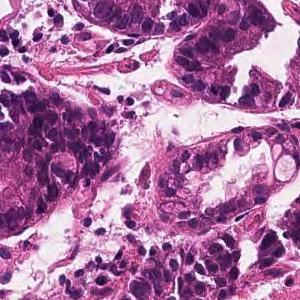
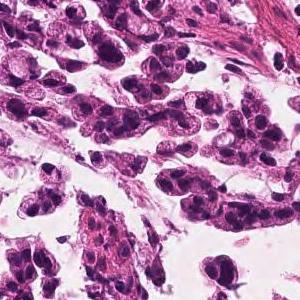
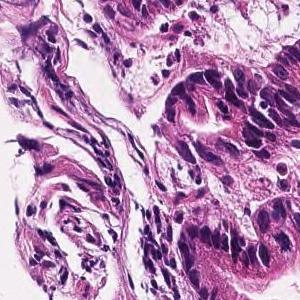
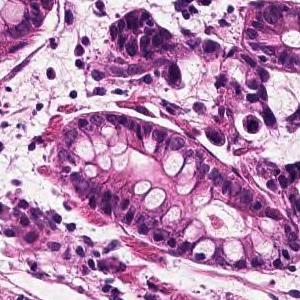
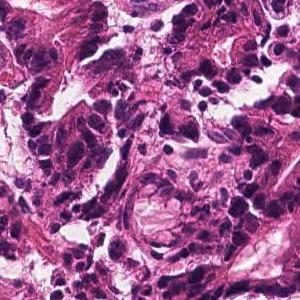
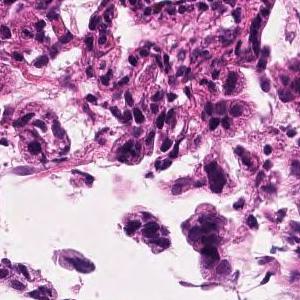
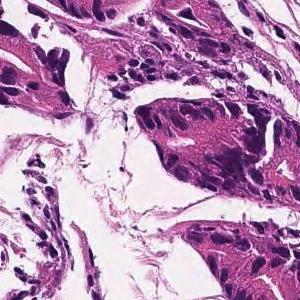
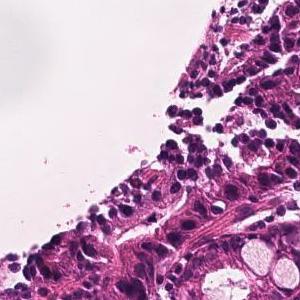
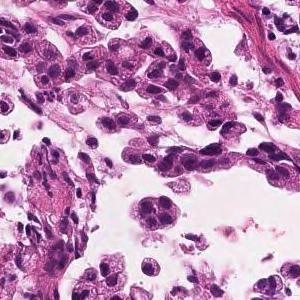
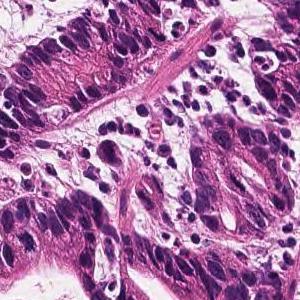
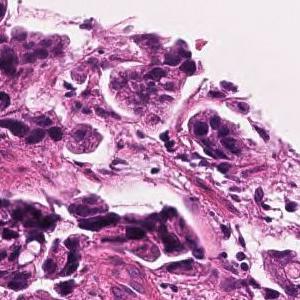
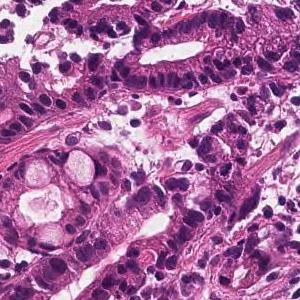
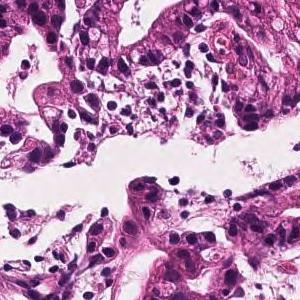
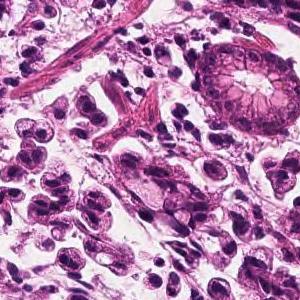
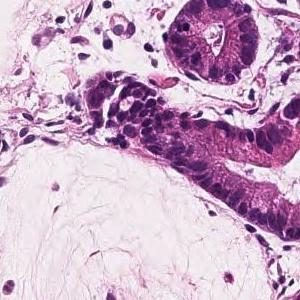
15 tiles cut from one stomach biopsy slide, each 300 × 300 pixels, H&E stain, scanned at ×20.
Pathology report for the biopsy slide these tiles were cut from. What the report and the diagnosis say applies to the whole slide; these tiles may miss some of the features named and may include tissue that is not tumor.
In the superficial epithelium, tumor tissue that invades by forming medium-sized to small, irregular ducts is observed. moderately differentiated tubular adenocarcinoma.
